×20 · H&E stain · 5 image tiles from a single gastric biopsy slide.
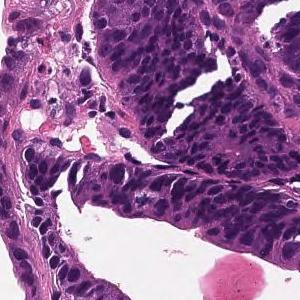
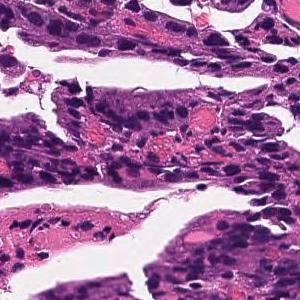
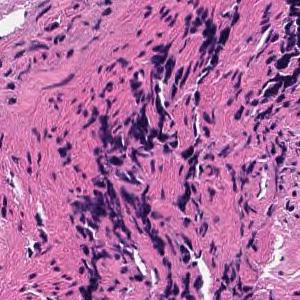
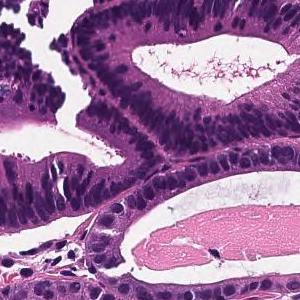
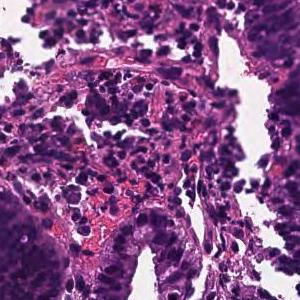
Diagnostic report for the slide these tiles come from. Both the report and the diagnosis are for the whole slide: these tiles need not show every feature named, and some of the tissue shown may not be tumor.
Tumor cells are large, highly columnar, large club-shaped nuclei, and are associated with chromatin aggregation. Papillary adenocarcinoma.
